H&E; 20× magnification; 15 image tiles from a single gastric biopsy slide; 300 × 300 pixels each.
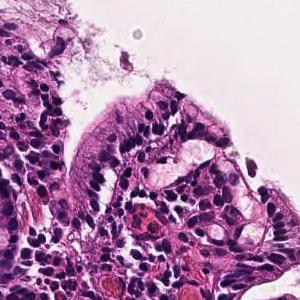
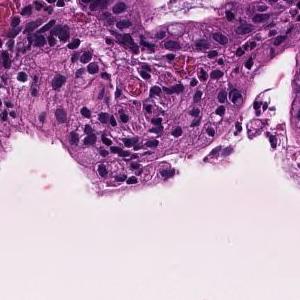
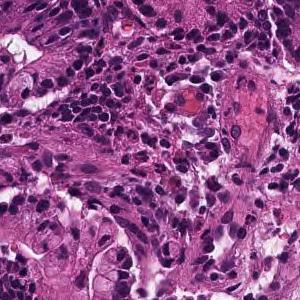
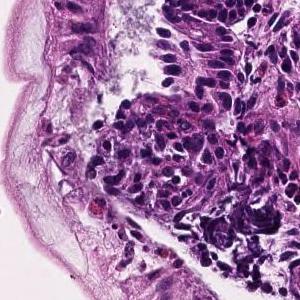
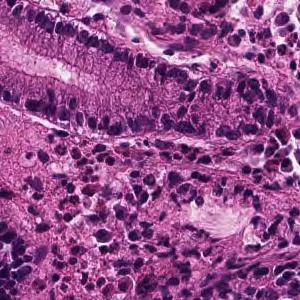
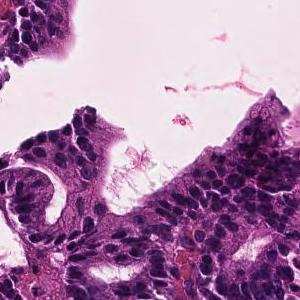
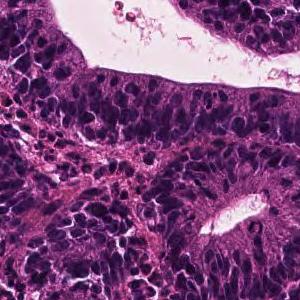
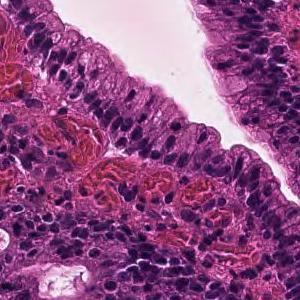
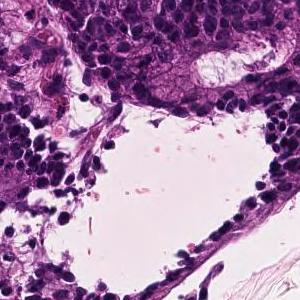
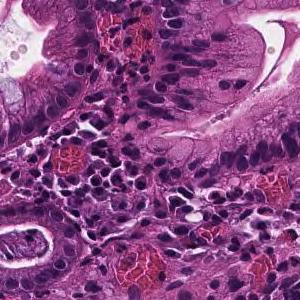
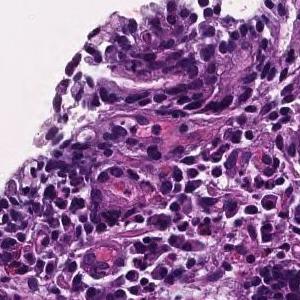
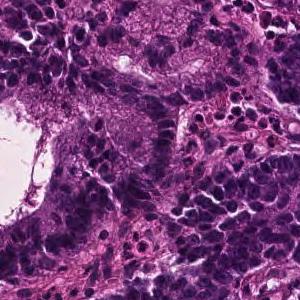
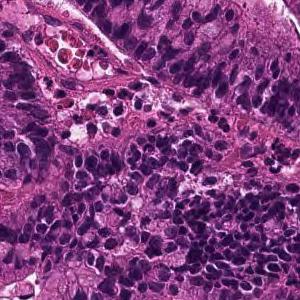
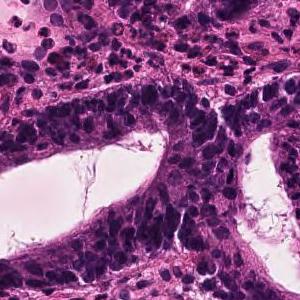
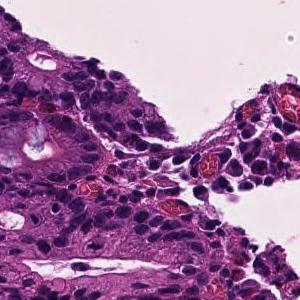
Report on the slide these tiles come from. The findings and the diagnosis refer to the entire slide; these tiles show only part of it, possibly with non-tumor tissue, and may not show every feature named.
In the superficial epithelium, tumor tissue that invades by forming medium-sized to small, irregular ducts is observed. moderately differentiated tubular adenocarcinoma.
